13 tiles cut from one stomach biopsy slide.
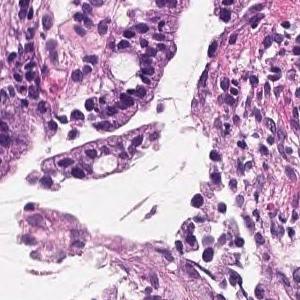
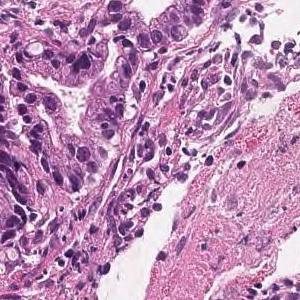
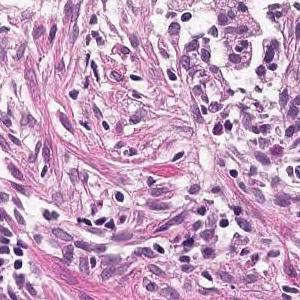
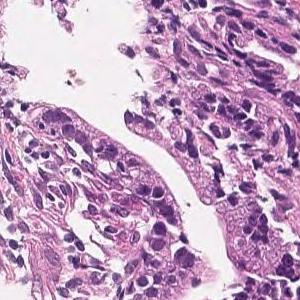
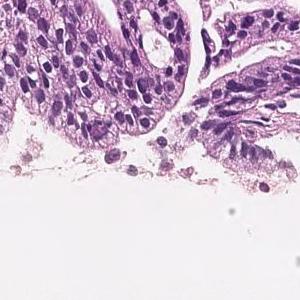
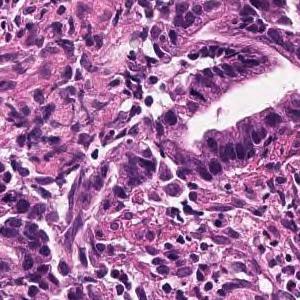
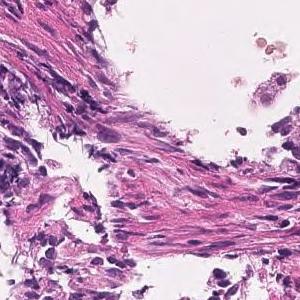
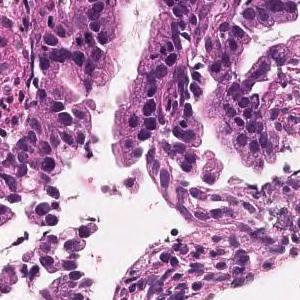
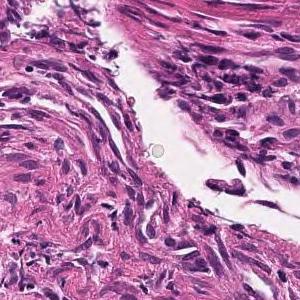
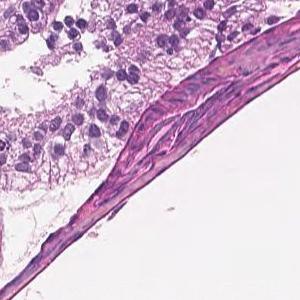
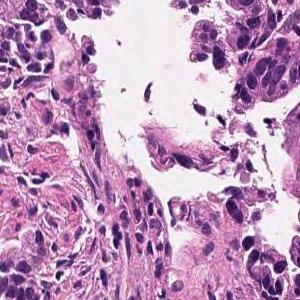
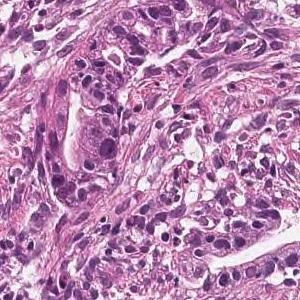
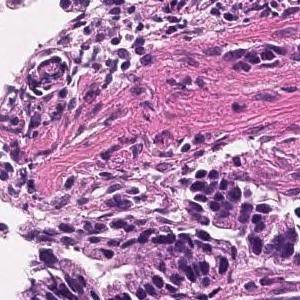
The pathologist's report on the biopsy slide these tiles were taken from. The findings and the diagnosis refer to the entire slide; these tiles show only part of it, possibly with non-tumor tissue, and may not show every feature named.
Tumor cells are large, highly columnar, large club-shaped nuclei, and are associated with chromatin aggregation. Papillary adenocarcinoma.
